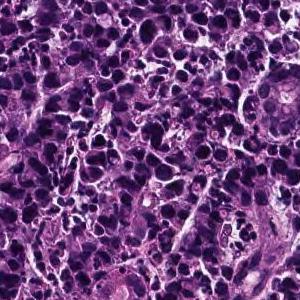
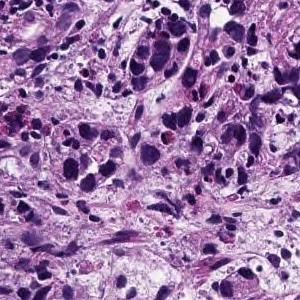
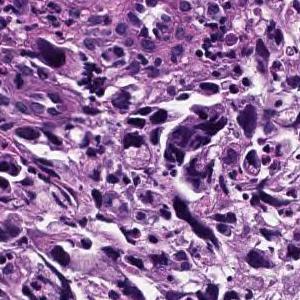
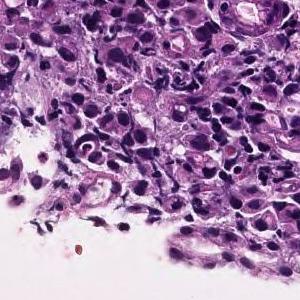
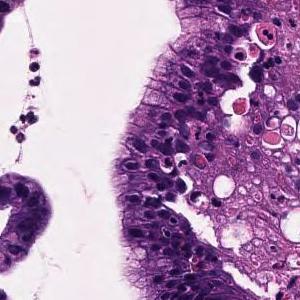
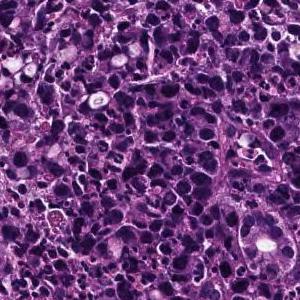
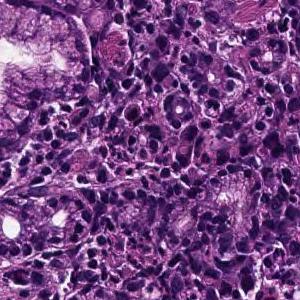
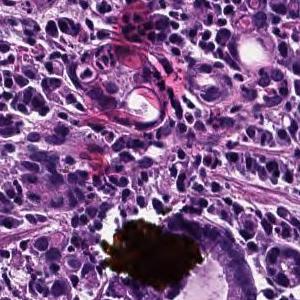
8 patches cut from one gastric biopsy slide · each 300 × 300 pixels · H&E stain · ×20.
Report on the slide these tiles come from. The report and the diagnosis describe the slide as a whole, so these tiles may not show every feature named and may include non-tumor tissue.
The superficial epithelium shows a large sheet-like shape, and some tumor tissue infiltrates with small irregular ducts. Poorly differentiated adenocarcinoma, solid-type
Subtype: Poorly differentiated adenocarcinoma, solid type, a category of the Japanese Classification of Gastric Carcinoma; in the WHO 2019 classification it is tubular adenocarcinoma, poorly differentiated.
